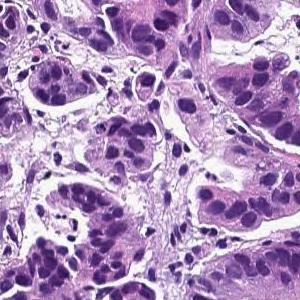
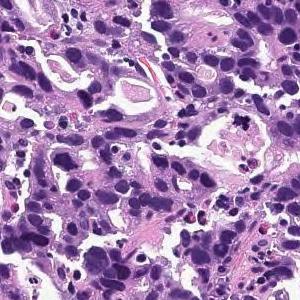
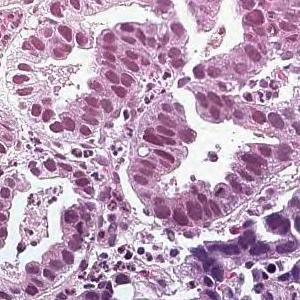
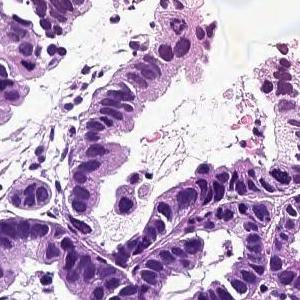
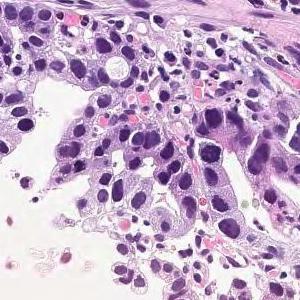
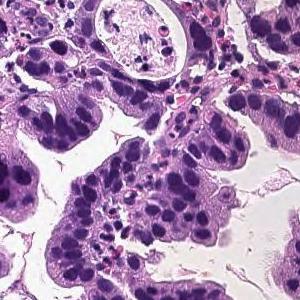
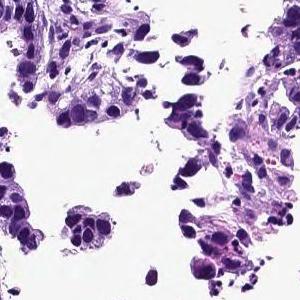
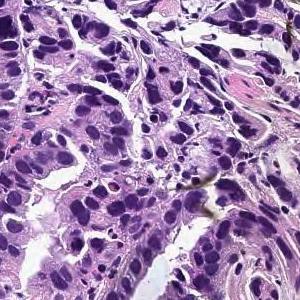
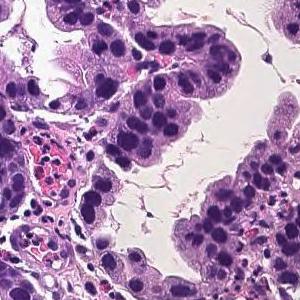
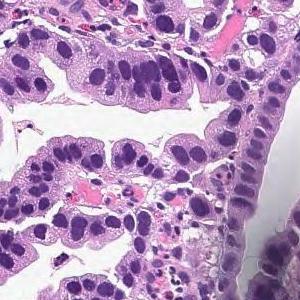
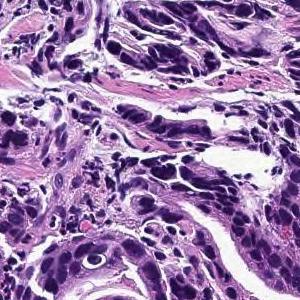
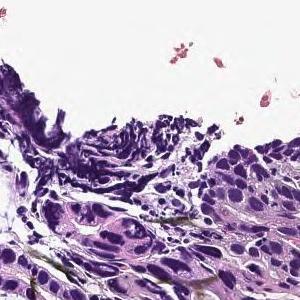
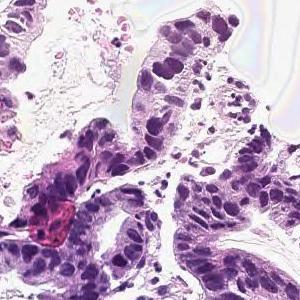
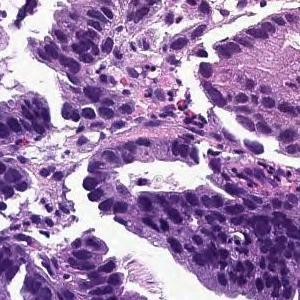
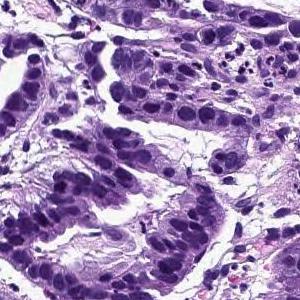
15 tiles from the same stomach biopsy slide · 300×300 px each · ×20 · H&E.
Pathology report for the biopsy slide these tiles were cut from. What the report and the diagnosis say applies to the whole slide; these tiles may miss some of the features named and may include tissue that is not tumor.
On the superficial epithelium, tumor tissue consisting of large irregular glandular ducts partially fused and infiltrated is observed. Well to moderately differentiated tubular adenocarcinoma (well differentiated tubular adenocarcinoma, moderately differentiated tubular adenocarcinoma)
Classified as well to moderately differentiated tubular adenocarcinoma.
